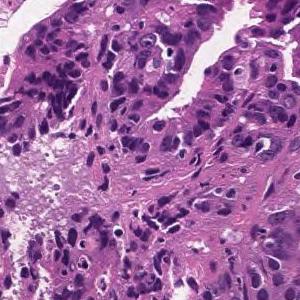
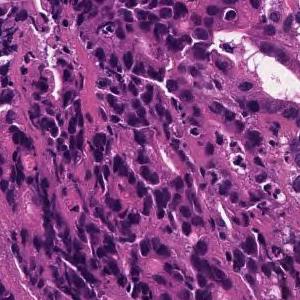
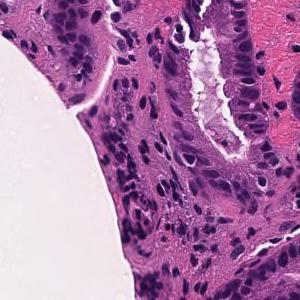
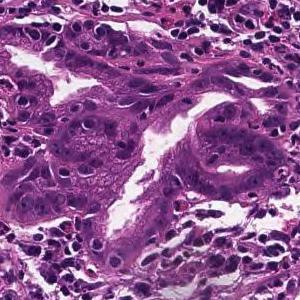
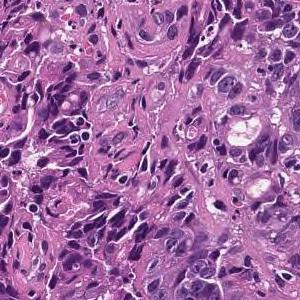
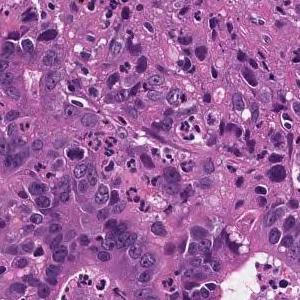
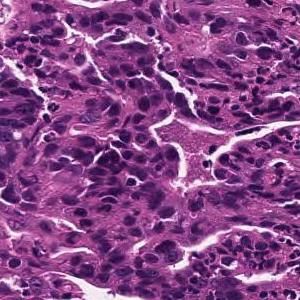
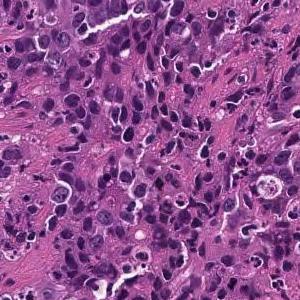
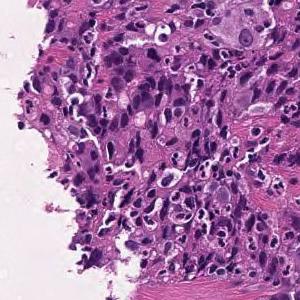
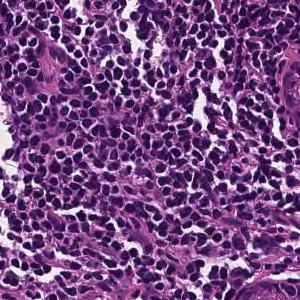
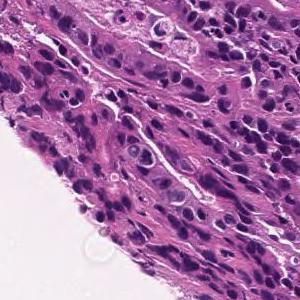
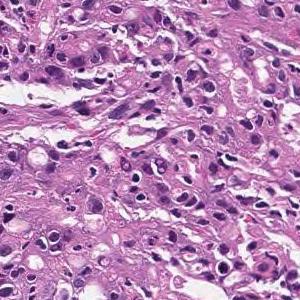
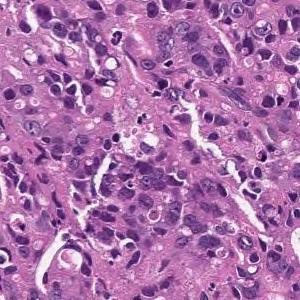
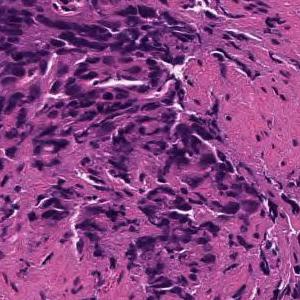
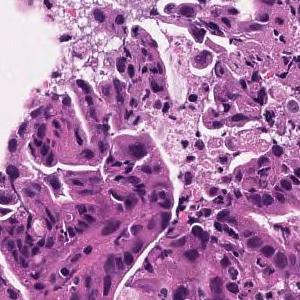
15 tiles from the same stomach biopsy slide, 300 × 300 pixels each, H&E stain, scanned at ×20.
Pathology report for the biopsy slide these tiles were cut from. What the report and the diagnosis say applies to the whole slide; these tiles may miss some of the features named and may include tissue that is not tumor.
In the superficial epithelium, tumor tissue that invades by forming medium-sized to small, irregular ducts is observed. moderately differentiated tubular adenocarcinoma.
